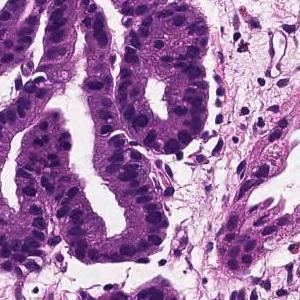
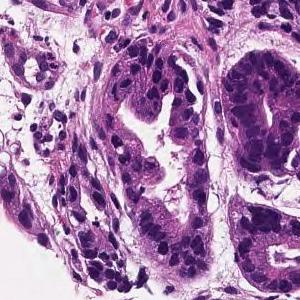
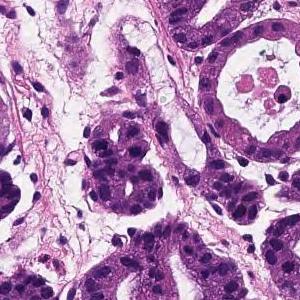
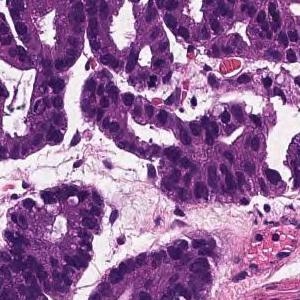
4 image tiles from a single gastric biopsy slide; hematoxylin and eosin stain.
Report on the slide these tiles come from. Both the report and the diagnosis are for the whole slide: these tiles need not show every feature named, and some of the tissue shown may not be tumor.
Tumor cells are large, highly columnar, large club-shaped nuclei, and are associated with chromatin aggregation. Papillary adenocarcinoma.
